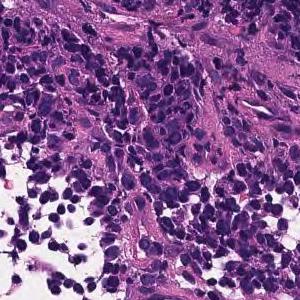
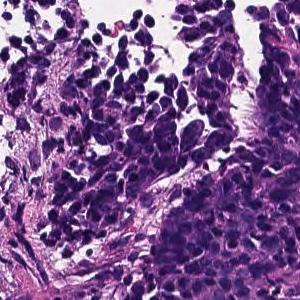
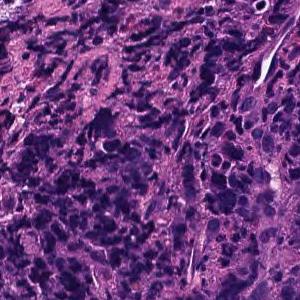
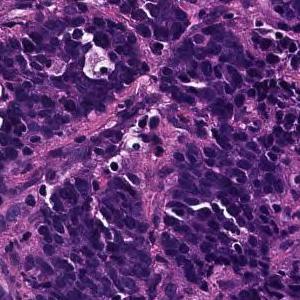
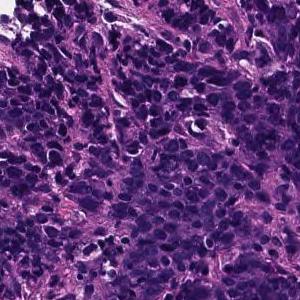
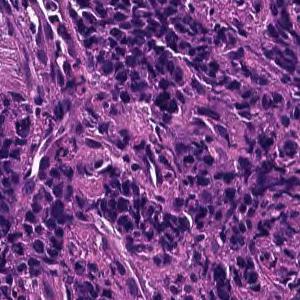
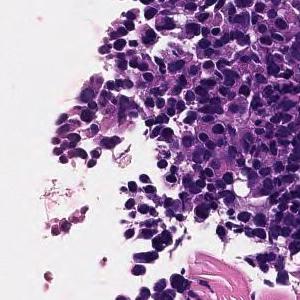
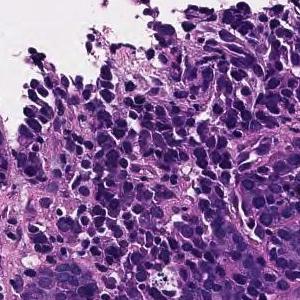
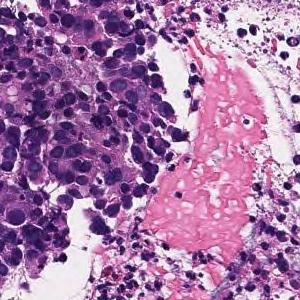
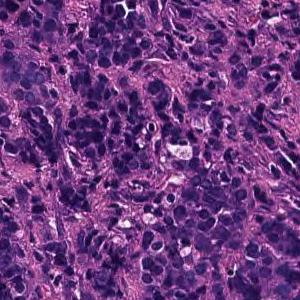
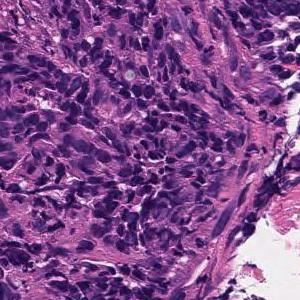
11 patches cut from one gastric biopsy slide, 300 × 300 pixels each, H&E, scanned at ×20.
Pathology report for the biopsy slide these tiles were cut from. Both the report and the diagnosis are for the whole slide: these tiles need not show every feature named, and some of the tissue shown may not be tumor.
Tumor tissue consisting of cord-like or small, irregular glandular ducts fused and infiltrated is observed in the superficial epithelium. Poorly differentiated adenocarcinoma, non-solid type
The non-solid type named here is a Japanese Classification of Gastric Carcinoma category.
